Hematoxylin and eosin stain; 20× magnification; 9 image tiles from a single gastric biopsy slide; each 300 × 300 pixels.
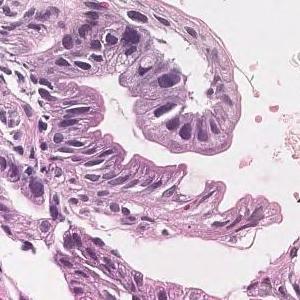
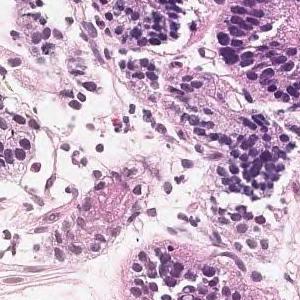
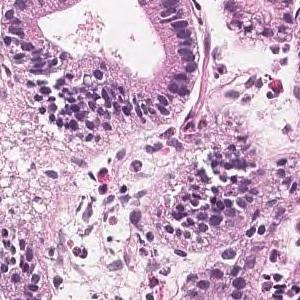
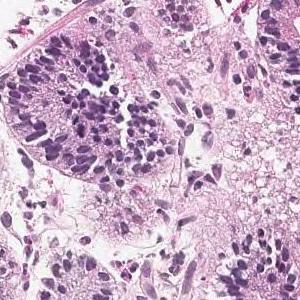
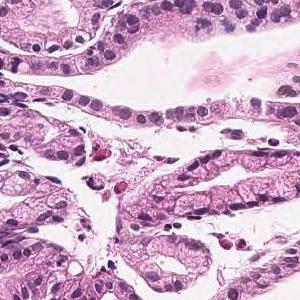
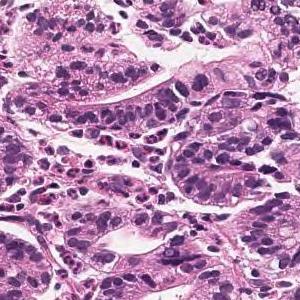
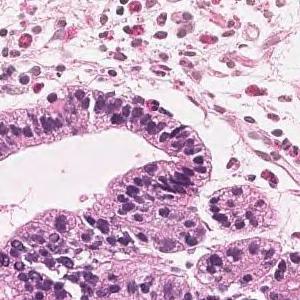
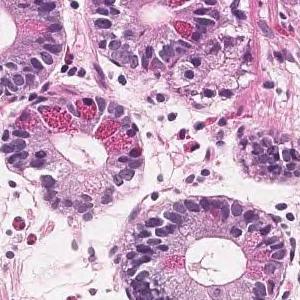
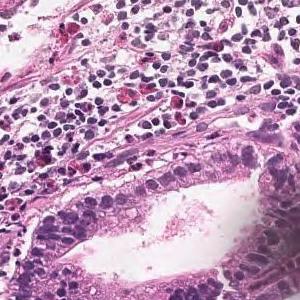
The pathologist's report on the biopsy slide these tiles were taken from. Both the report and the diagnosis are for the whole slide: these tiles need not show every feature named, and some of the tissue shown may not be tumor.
Tumor tissue in which medium to small irregular ducts infiltrate and proliferate in the submucosa can be seen in the epithelium. Well differentiated tubular adenocarcinoma
